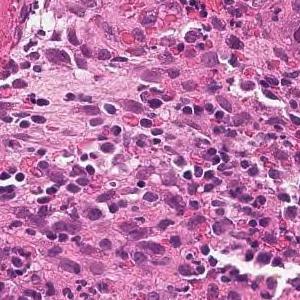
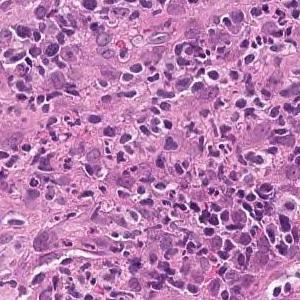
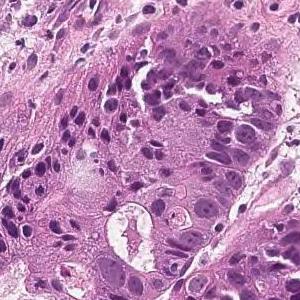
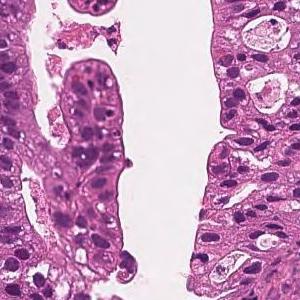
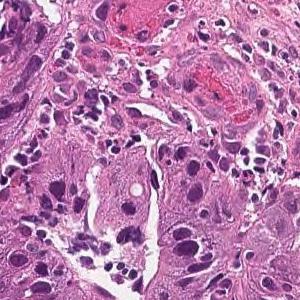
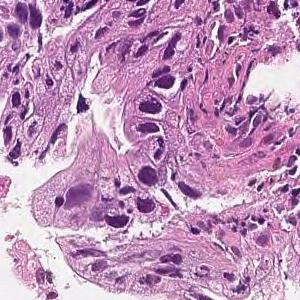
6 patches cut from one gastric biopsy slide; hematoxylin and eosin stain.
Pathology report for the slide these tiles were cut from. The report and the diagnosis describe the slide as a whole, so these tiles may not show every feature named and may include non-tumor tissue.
In the superficial epithelium, tumor tissue that invades by forming medium-sized to small, irregular ducts is observed. moderately differentiated tubular adenocarcinoma.
